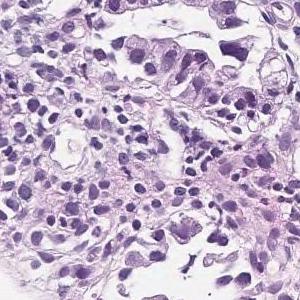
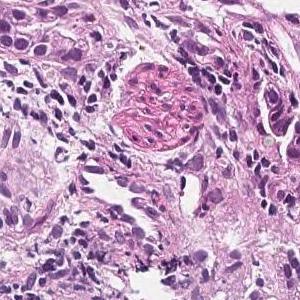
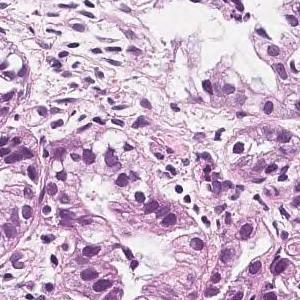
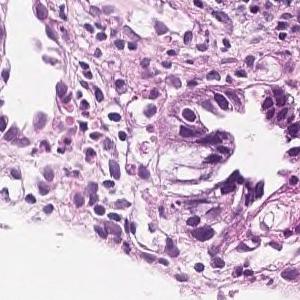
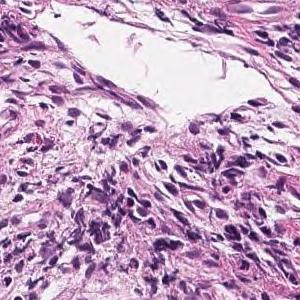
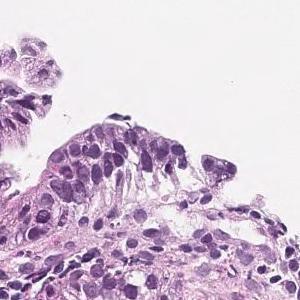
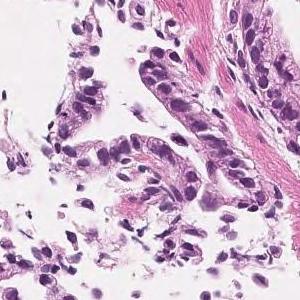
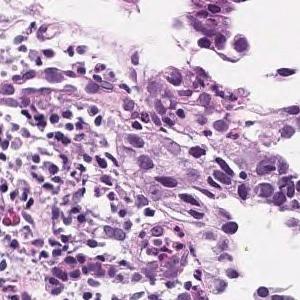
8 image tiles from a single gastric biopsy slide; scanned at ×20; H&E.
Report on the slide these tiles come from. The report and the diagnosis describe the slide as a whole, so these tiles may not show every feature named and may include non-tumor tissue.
In the superficial epithelium, tumor tissue that invades by forming medium-sized to small, irregular ducts is observed. moderately differentiated tubular adenocarcinoma.
